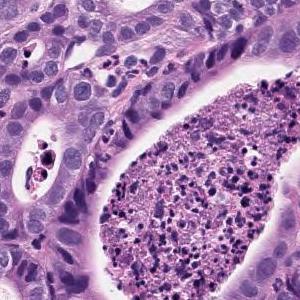
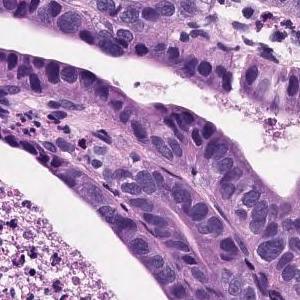
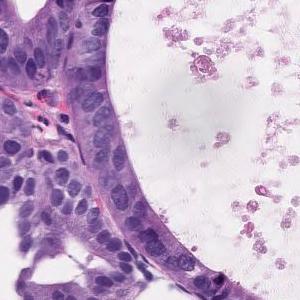
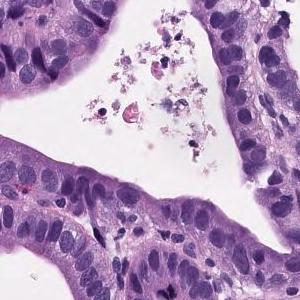
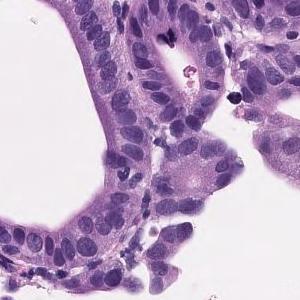
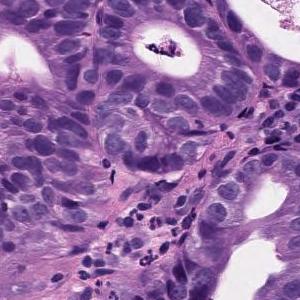
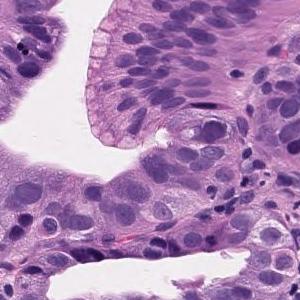
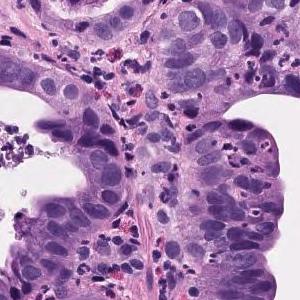
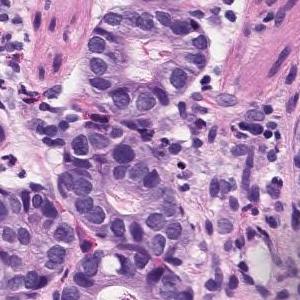
9 image tiles from a single gastric biopsy slide; each 300 × 300 pixels; hematoxylin and eosin stain; ×20.
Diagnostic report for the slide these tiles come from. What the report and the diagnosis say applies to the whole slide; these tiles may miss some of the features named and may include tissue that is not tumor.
Tumor tissue consisting of proliferative medium to large, round or irregular glandular ducts in the superficial epithelium. Well differentiated adenocarcinoma.
Histological subtype: Well differentiated tubular adenocarcinoma.
